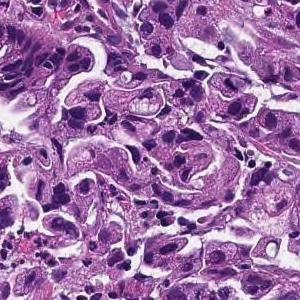
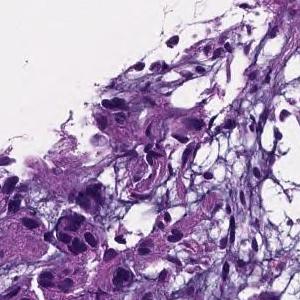
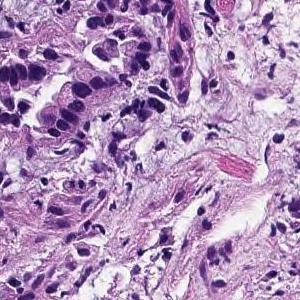
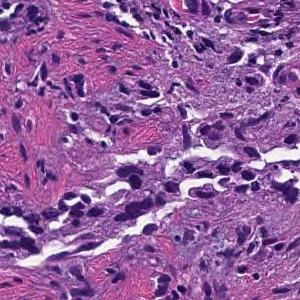
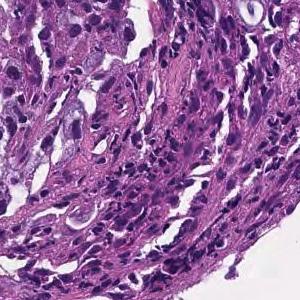
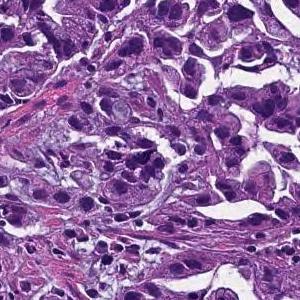
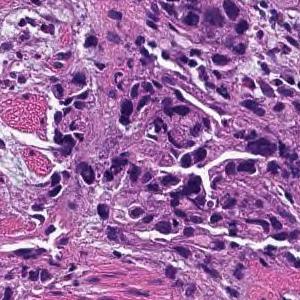
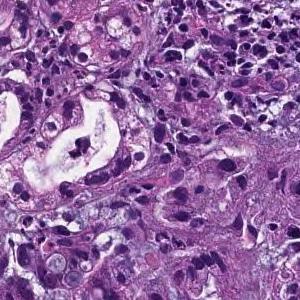
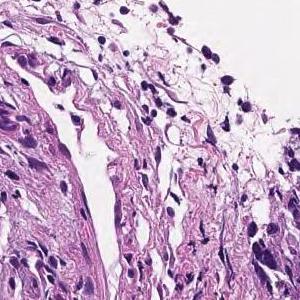
9 patches cut from one gastric biopsy slide, 300 × 300 pixels each, 20× magnification, H&E.
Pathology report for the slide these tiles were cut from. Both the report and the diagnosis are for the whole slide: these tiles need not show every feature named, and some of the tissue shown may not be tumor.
Tumor tissue consisting of medium-sized, cord-like or irregular glandular infiltration is observed in the superficial epithelium. Poorly differentiated adenocarcinoma, non-solid type or moderately differentiated tubular adenocarcinoma
Histological subtype: Moderately to poorly differentiated adenocarcinoma.
The non-solid type named here is a Japanese Classification of Gastric Carcinoma category.
